10 tiles cut from one stomach biopsy slide · each 300 × 300 pixels · hematoxylin and eosin stain · scanned at ×20.
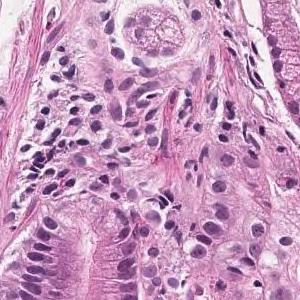
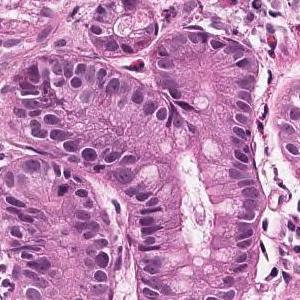
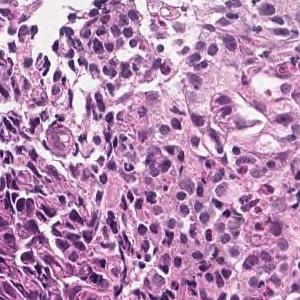
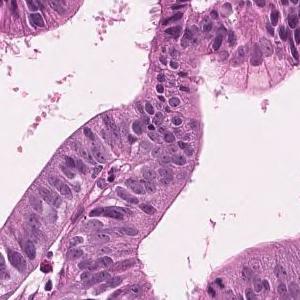
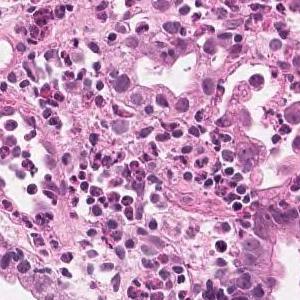
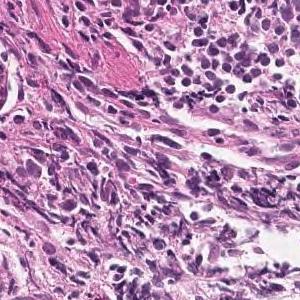
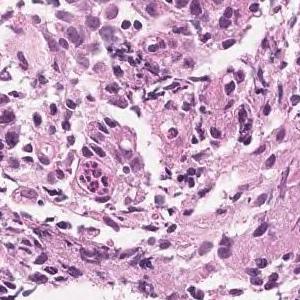
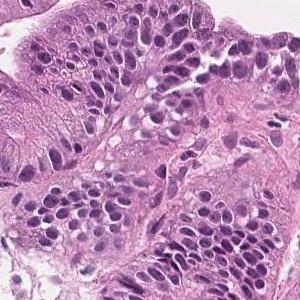
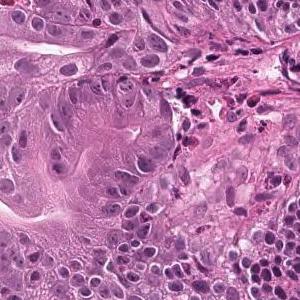
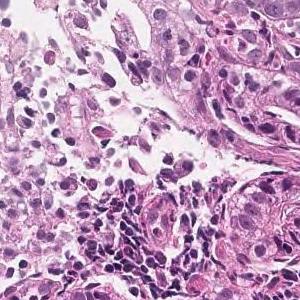
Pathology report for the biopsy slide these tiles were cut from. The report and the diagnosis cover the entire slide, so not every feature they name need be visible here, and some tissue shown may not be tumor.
On the superficial epithelium, tumor tissue consisting of large, irregular glandular ducts partially fused and infiltrated is observed. Well to moderately differentiated tubular adenocarcinoma (well differentiated tubular adenocarcinoma, moderately differentiated tubular adenocarcinoma)
Subtype: Well to moderately differentiated tubular adenocarcinoma.
